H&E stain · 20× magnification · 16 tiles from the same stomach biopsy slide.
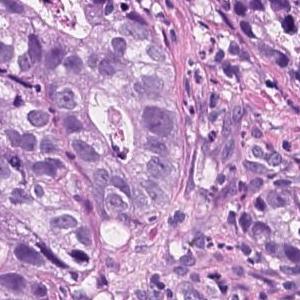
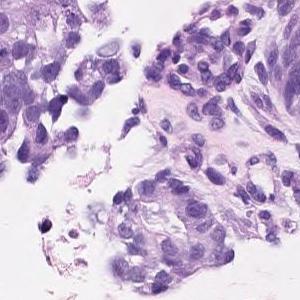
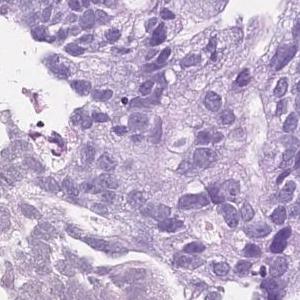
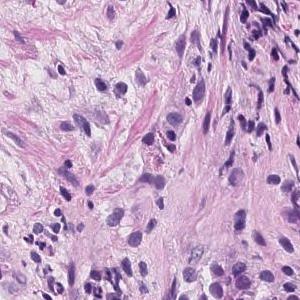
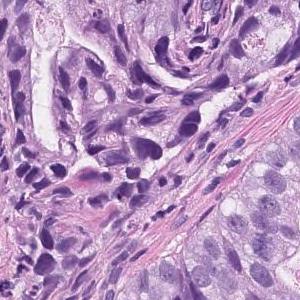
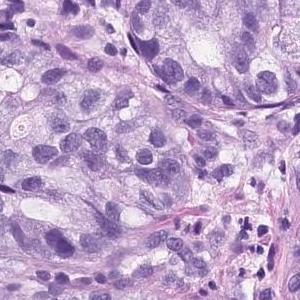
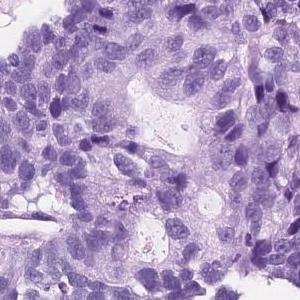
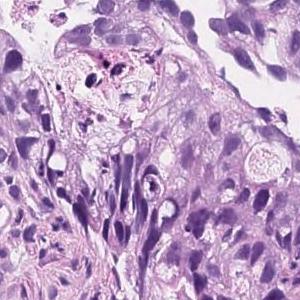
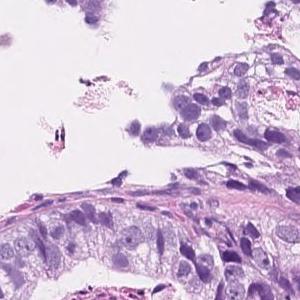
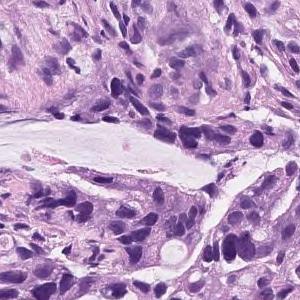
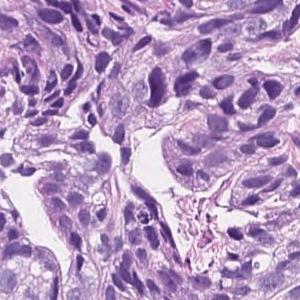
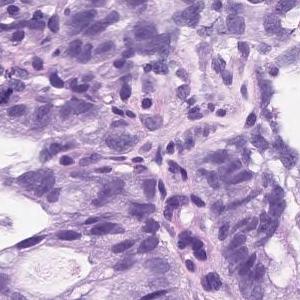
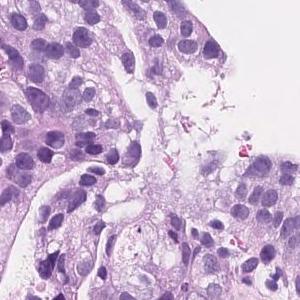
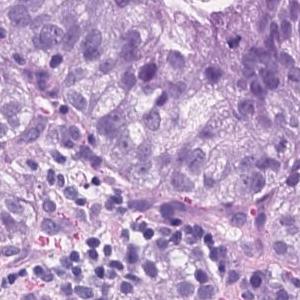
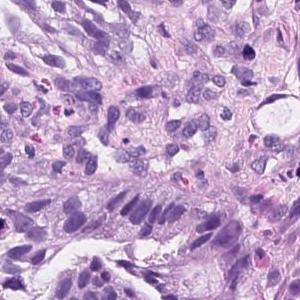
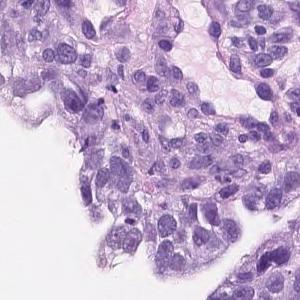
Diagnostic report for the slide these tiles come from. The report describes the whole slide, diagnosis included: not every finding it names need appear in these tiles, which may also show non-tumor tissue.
On the superficial epithelium, tumor tissue consisting of an image of large, irregular glandular ducts partially fused and infiltrated is observed. Well to moderately differentiated tubular adenocarcinoma
